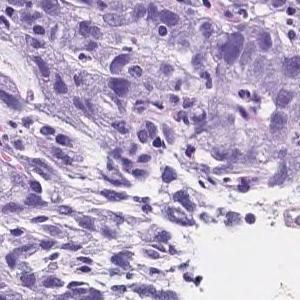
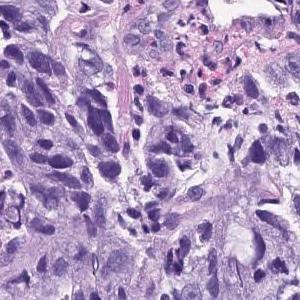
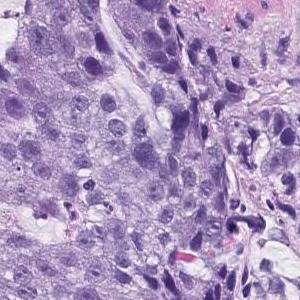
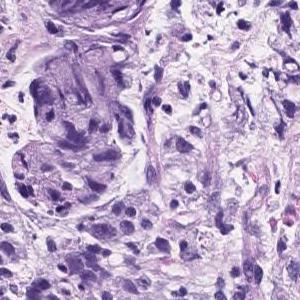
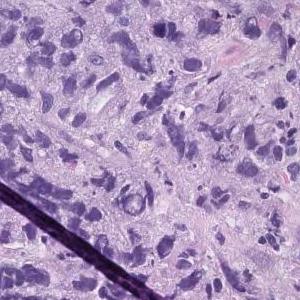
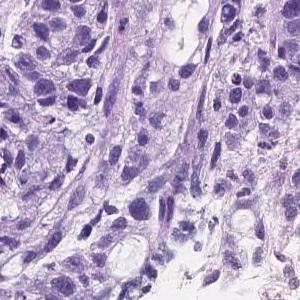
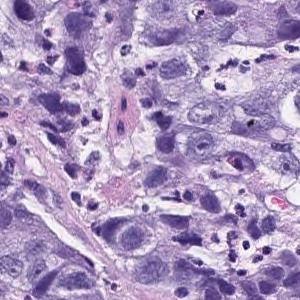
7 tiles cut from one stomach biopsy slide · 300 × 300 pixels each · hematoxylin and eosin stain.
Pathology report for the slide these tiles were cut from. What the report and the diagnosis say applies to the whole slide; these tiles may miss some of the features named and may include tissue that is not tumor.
Atypical l cells with atypical nuclei forming solid vesicles or small irregular atypical ducts that proliferate in a complex manner. poorly differentiated adenocarcinoma, solid type, moderately differentiated tubular adenocarcinoma
The term "solid type" comes from the Japanese Classification of Gastric Carcinoma; the WHO 2019 equivalent is tubular adenocarcinoma, poorly differentiated.
